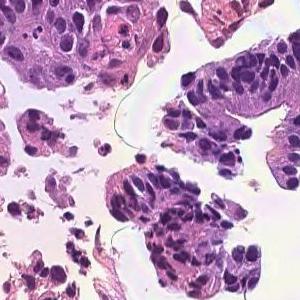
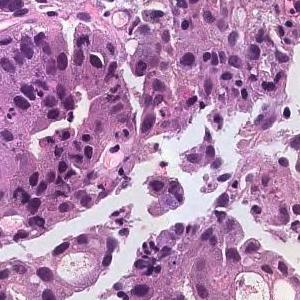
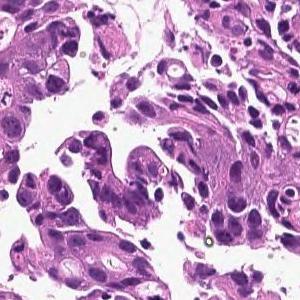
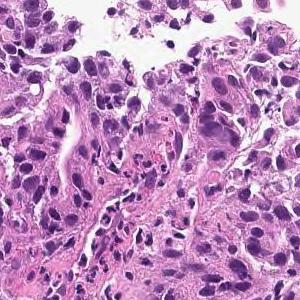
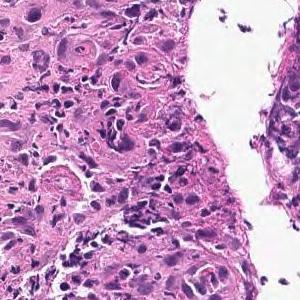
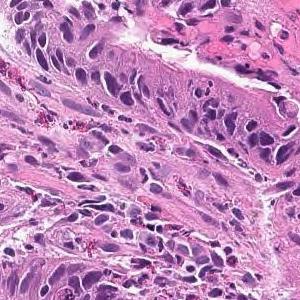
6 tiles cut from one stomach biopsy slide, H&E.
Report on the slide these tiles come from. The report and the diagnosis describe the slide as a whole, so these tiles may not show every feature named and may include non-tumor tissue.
On the superficial epithelium, tumor tissue consisting of large irregular glandular ducts partially fused and infiltrated is observed. Well to moderately differentiated tubular adenocarcinoma (well differentiated tubular adenocarcinoma, moderately differentiated tubular adenocarcinoma)
Histologic type: Well to moderately differentiated tubular adenocarcinoma.
